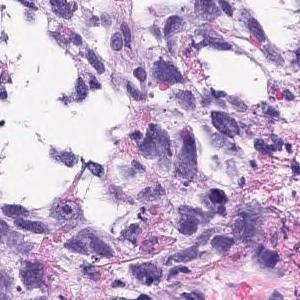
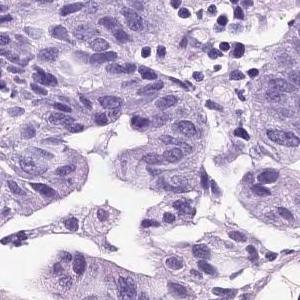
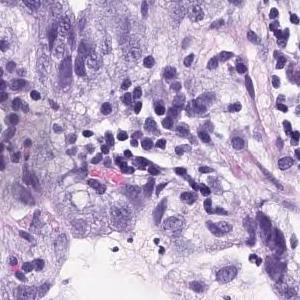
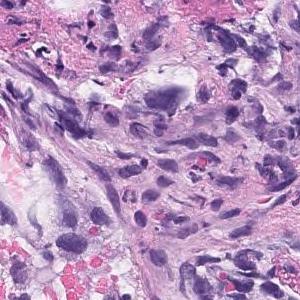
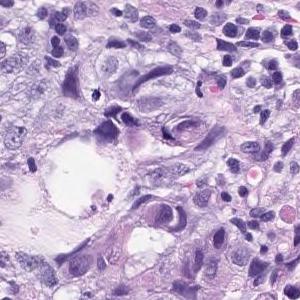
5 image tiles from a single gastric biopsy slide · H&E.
Report on the slide these tiles come from. The findings and the diagnosis refer to the entire slide; these tiles show only part of it, possibly with non-tumor tissue, and may not show every feature named.
In the superficial epithelium, tumor tissue that invades by forming medium-sized to small, irregular ducts is observed. Moderately differentiated adenocarcinoma.
Histologic type: Moderately differentiated tubular adenocarcinoma.
